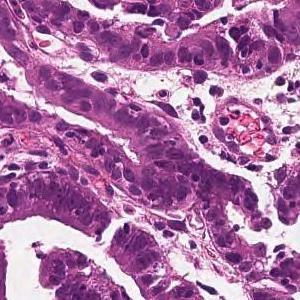
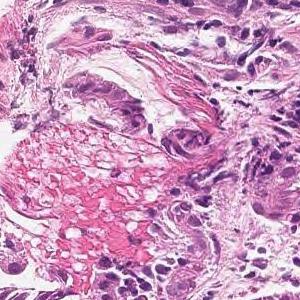
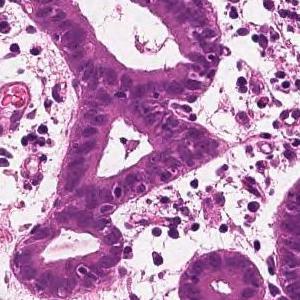
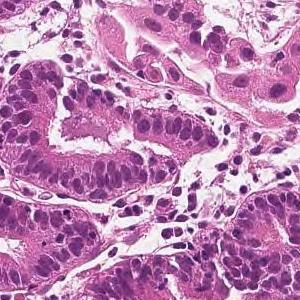
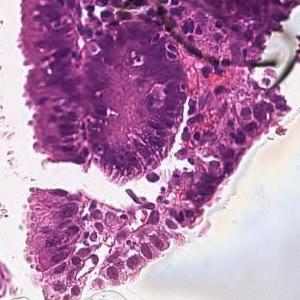
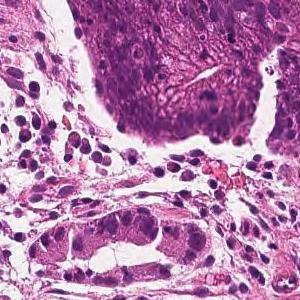
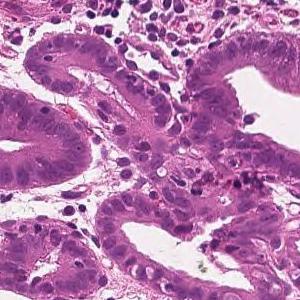
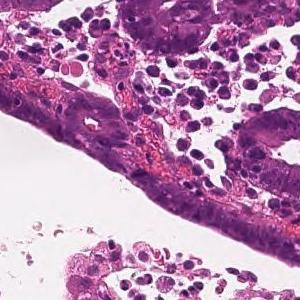
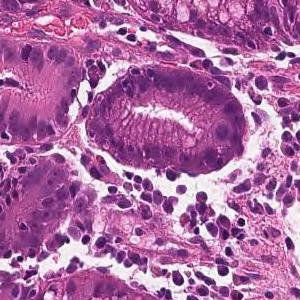
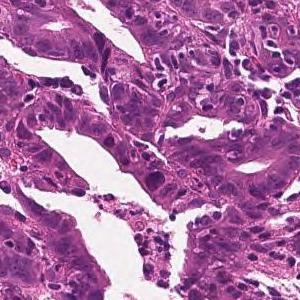
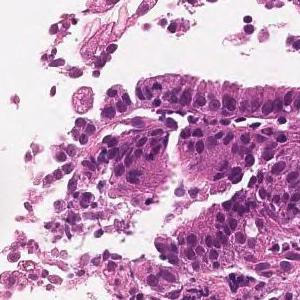
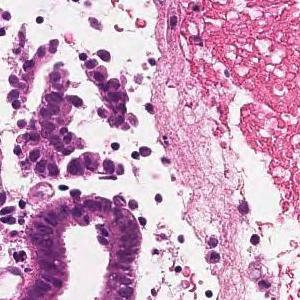
12 image tiles from a single gastric biopsy slide; 300 × 300 pixels each; 20× magnification.
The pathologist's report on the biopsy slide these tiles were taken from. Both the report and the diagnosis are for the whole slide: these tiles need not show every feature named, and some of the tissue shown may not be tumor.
On the superficial epithelium, tumor tissue is found in which medium-sized irregular gland ducts fuse with each other and infiltrate. moderately differentiated tubular adenocarcinoma
